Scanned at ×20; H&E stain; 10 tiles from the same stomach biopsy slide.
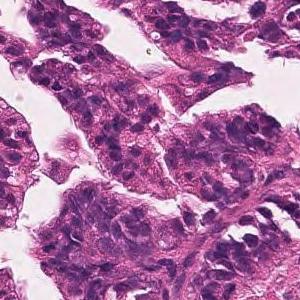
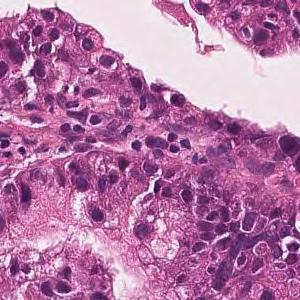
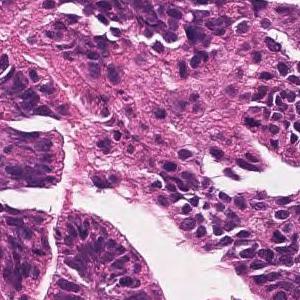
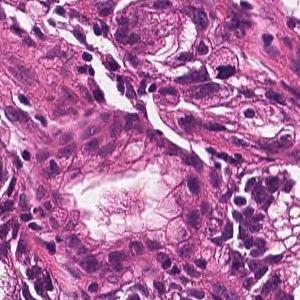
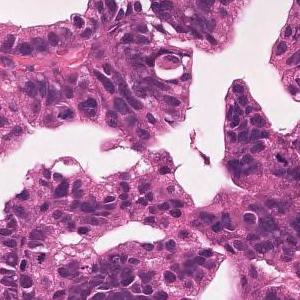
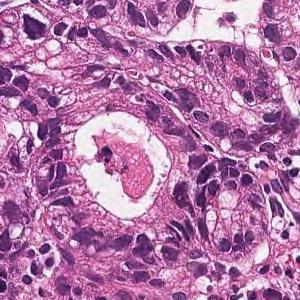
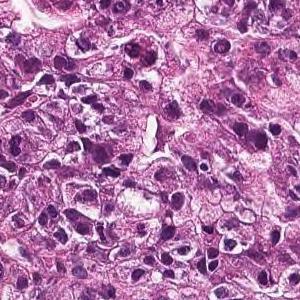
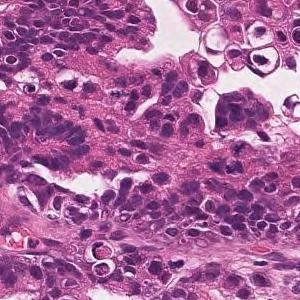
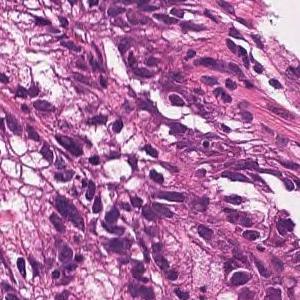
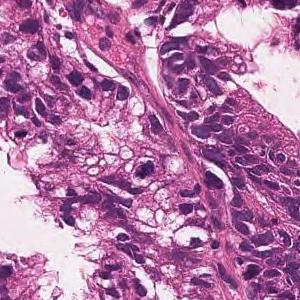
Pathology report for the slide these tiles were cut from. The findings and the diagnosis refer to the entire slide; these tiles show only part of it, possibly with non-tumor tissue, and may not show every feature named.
On the superficial epithelium, tumor tissue consisting of large, irregular glandular ducts partially fused and infiltrated is observed. Well to moderately differentiated tubular adenocarcinoma (well differentiated tubular adenocarcinoma, moderately differentiated tubular adenocarcinoma)
Classified as well to moderately differentiated tubular adenocarcinoma.
